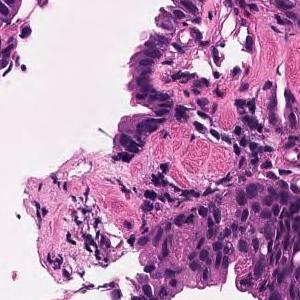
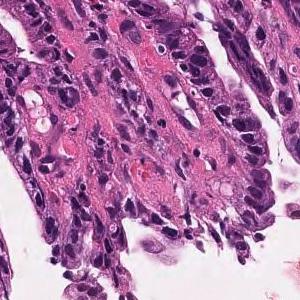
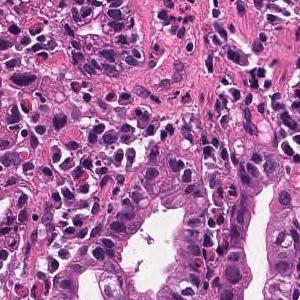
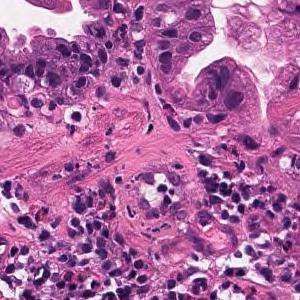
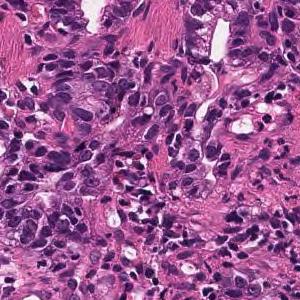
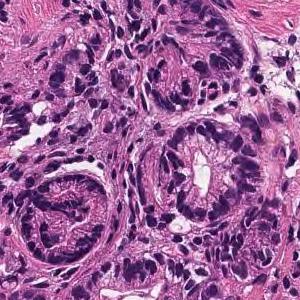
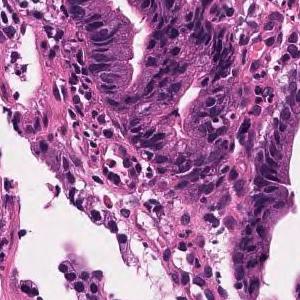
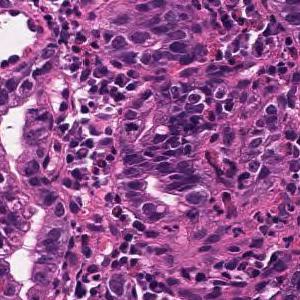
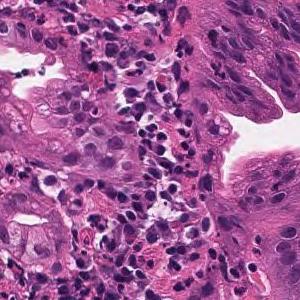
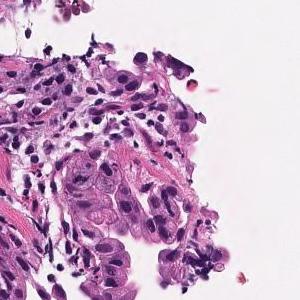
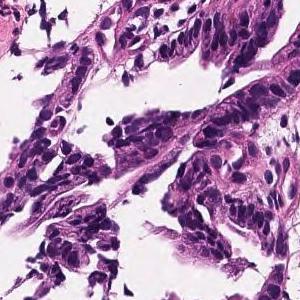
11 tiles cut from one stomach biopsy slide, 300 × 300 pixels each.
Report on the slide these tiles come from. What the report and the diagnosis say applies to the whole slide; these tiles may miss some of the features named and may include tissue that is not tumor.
Tumor tissue in which medium to small irregular ducts infiltrate and proliferate in the submucosa can be seen in the epithelium. Well differentiated tubular adenocarcinoma
